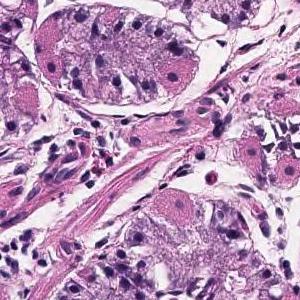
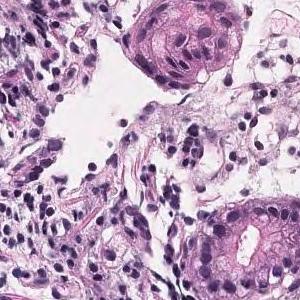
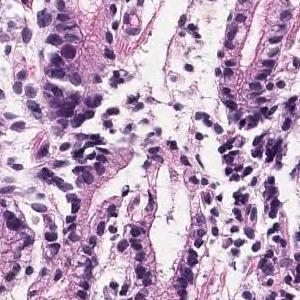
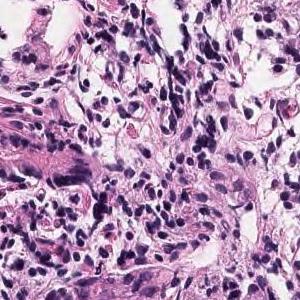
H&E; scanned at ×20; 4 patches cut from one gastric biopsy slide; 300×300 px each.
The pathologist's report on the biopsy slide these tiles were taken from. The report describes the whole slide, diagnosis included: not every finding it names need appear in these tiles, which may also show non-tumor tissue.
Tumor tissue that grows and grows is observed, showing a medium-sized round or irregular duct. moderately differentiated tubular adenocarcinoma
